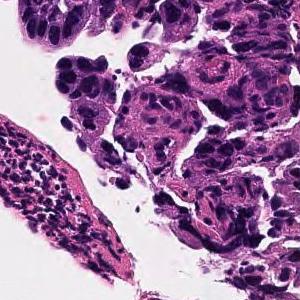
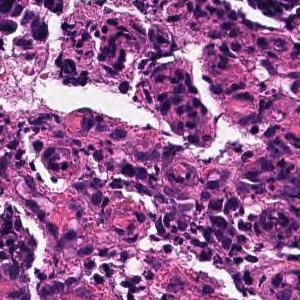
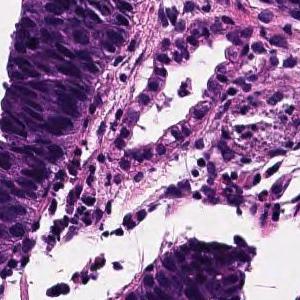
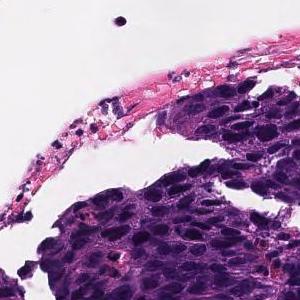
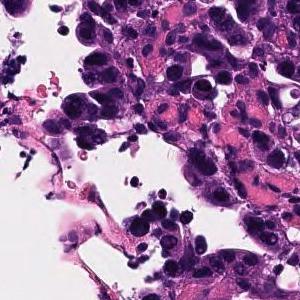
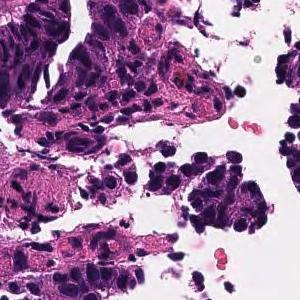
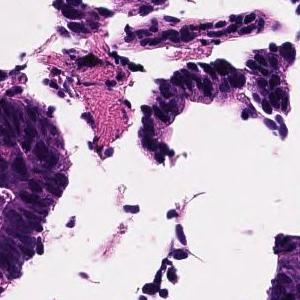
7 tiles cut from one stomach biopsy slide; 300 × 300 pixels each; H&E; ×20.
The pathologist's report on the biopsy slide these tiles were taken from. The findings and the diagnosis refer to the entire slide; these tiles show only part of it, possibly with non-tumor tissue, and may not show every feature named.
In the superficial epithelium, tumor tissue that invades by forming medium-sized to small, irregular ducts is observed. moderately differentiated tubular adenocarcinoma.
